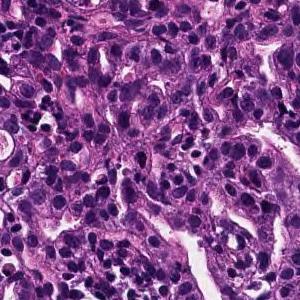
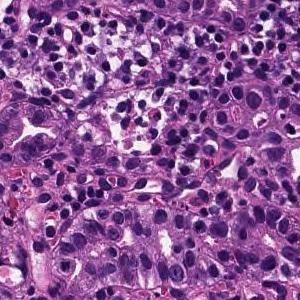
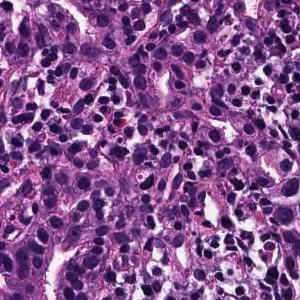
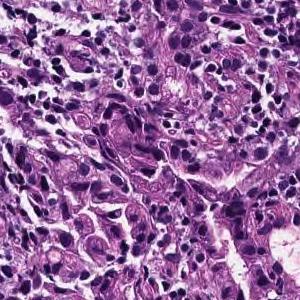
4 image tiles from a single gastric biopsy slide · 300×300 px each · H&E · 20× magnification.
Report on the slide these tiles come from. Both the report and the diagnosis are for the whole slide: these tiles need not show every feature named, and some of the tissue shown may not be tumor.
Medium to small, irregular glandular ducts are formed in the superficial epithelium, and in some cases, the glandular ducts are fused to show solid alveolar lesions and infiltrating tumor tissue is observed. Moderately to poorly differentiated adenocarcinoma.
